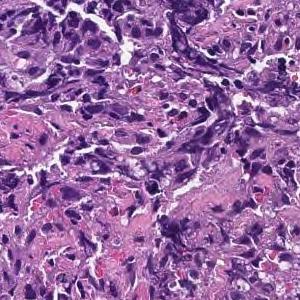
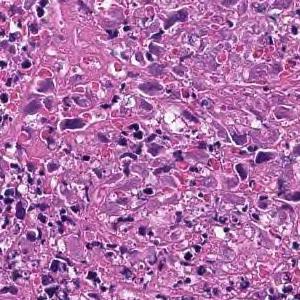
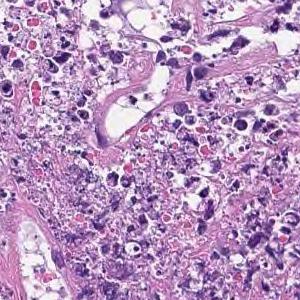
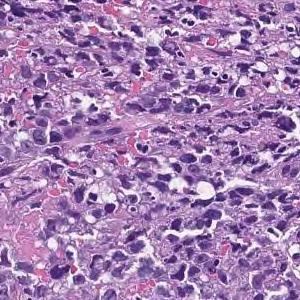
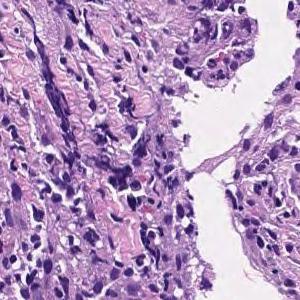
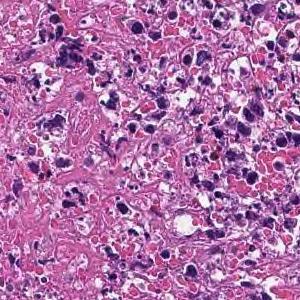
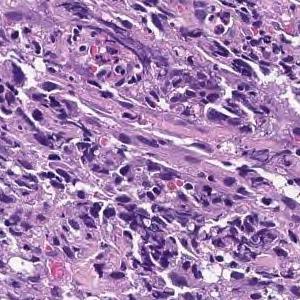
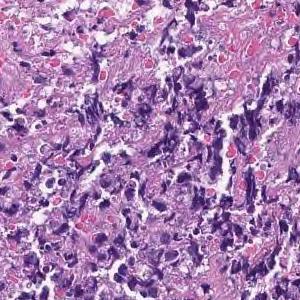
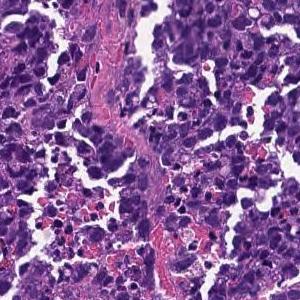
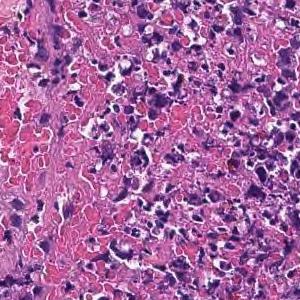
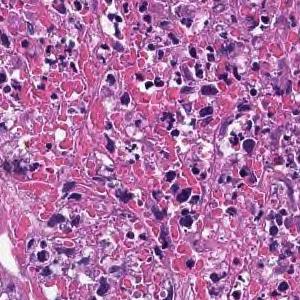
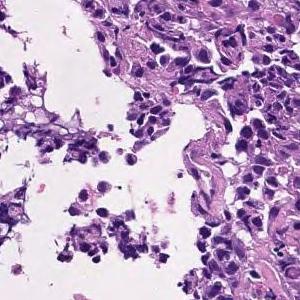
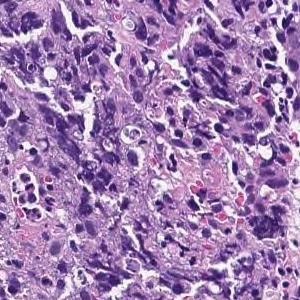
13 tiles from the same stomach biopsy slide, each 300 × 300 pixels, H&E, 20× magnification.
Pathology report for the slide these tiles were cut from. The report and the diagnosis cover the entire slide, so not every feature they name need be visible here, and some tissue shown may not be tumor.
Most are composed of coagulative necrotic tissue, but some show a large sheet-like shape, and some show tumor tissue infiltrating with a small cord-like structure. Poorly differentiated adenocarcinoma, solid-type
Subtype: Poorly differentiated adenocarcinoma, solid type. This name comes from the Japanese Classification of Gastric Carcinoma; the WHO 2019 classification calls it tubular adenocarcinoma, poorly differentiated.
